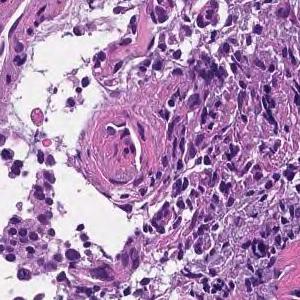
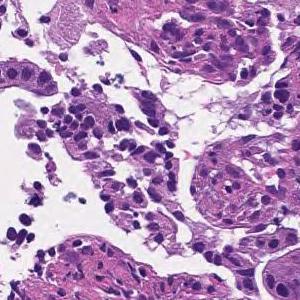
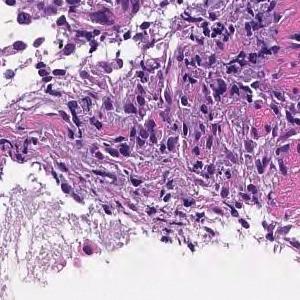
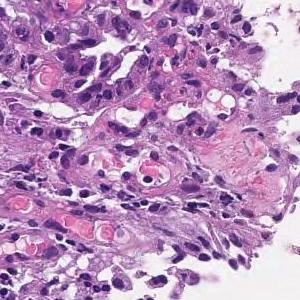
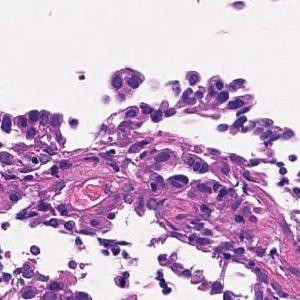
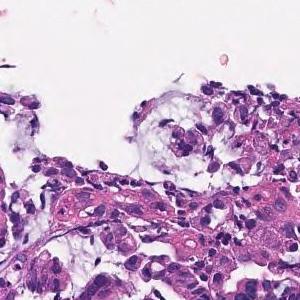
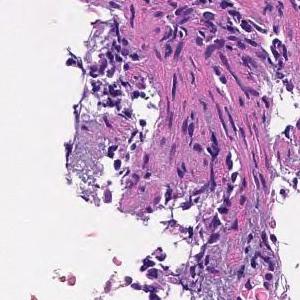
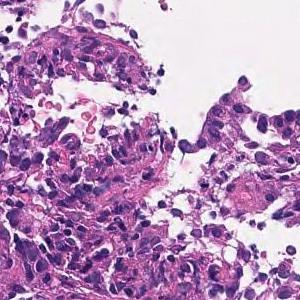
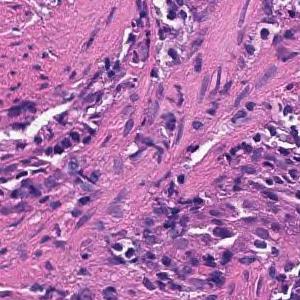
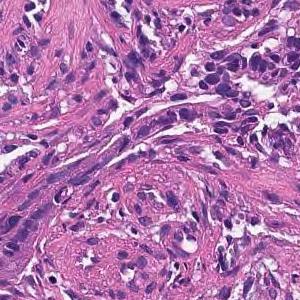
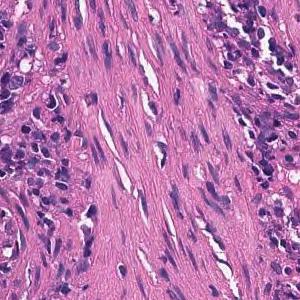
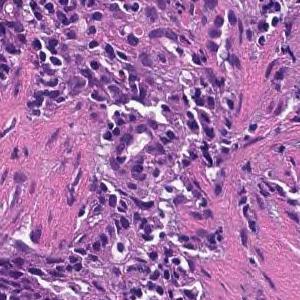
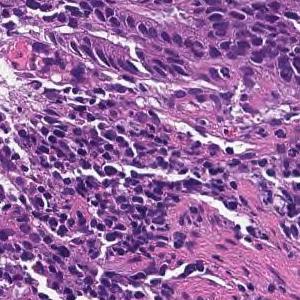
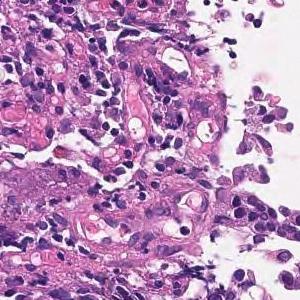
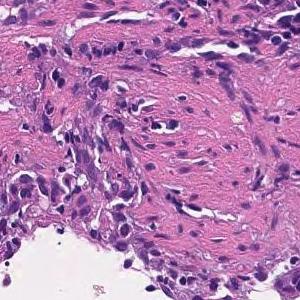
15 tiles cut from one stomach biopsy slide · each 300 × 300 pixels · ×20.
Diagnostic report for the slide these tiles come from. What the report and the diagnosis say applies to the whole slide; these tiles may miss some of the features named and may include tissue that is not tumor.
On the superficial epithelium, tumor tissue consisting of large, irregular glandular ducts partially fused and infiltrated is observed. Well to moderately differentiated tubular adenocarcinoma (well differentiated tubular adenocarcinoma, moderately differentiated tubular adenocarcinoma)
Subtype: Well to moderately differentiated tubular adenocarcinoma.
